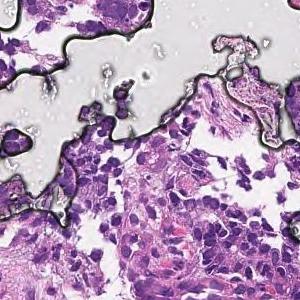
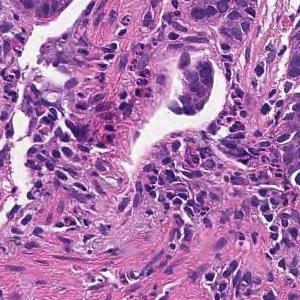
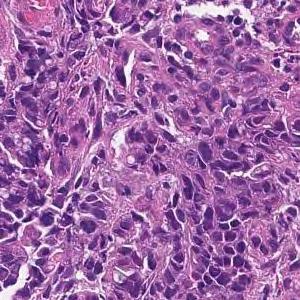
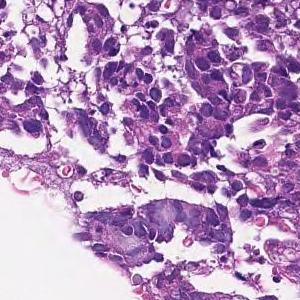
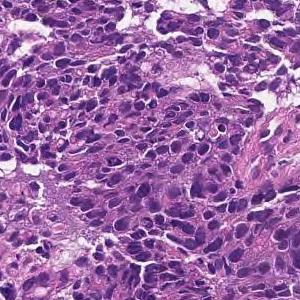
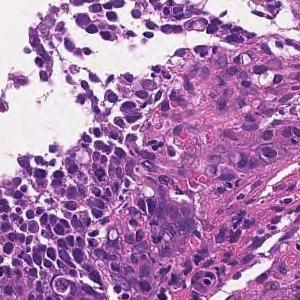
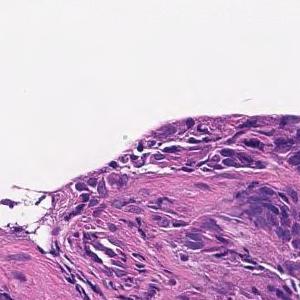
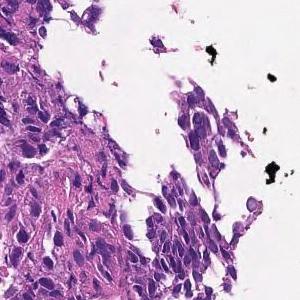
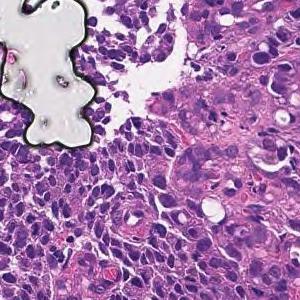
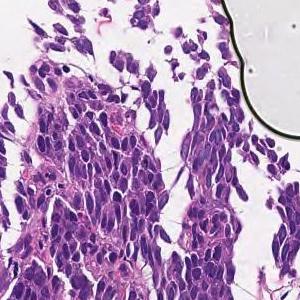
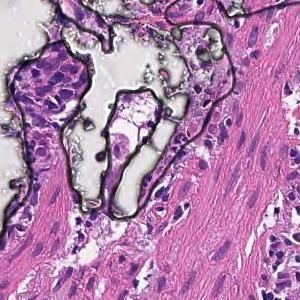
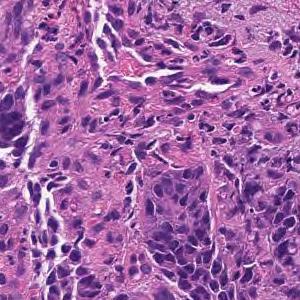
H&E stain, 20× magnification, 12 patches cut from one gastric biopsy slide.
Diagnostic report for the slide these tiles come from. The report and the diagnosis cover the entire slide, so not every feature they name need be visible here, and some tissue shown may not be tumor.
Tumor tissue consisting of cord-like or small, irregular glandular ducts fused and infiltrated is observed in the superficial epithelium. Poorly differentiated adenocarcinoma, non-solid type
The non-solid type named here is a Japanese Classification of Gastric Carcinoma category.
